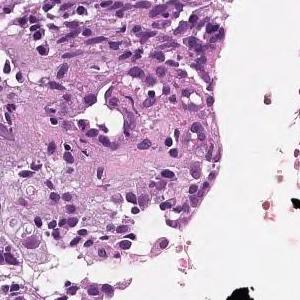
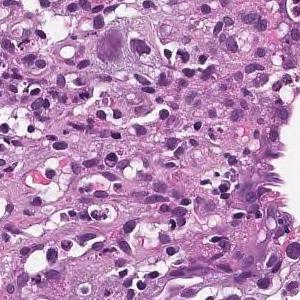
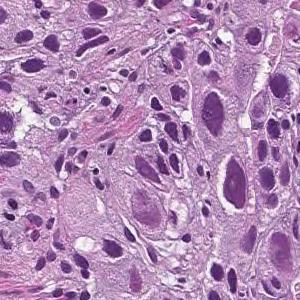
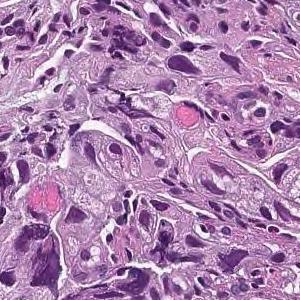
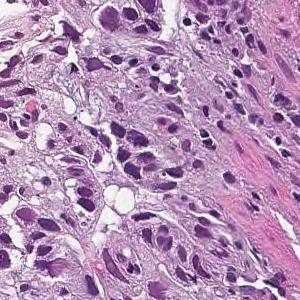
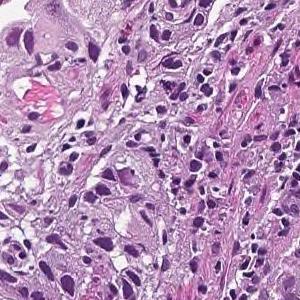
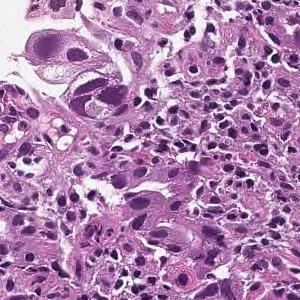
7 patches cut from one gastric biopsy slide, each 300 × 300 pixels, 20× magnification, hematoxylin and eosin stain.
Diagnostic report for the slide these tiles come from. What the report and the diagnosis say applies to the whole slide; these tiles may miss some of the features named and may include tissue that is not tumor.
Tumor tissue consisting of cord-like or small irregular glandular ducts fused is observed infiltrating in the superficial epithelium. Poorly differentiated adenocarcinoma, non-solid type
The term "non-solid type" comes from the Japanese Classification of Gastric Carcinoma.
